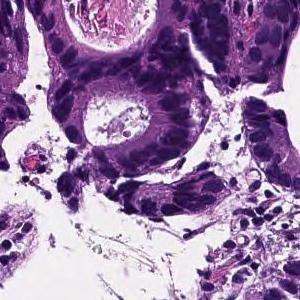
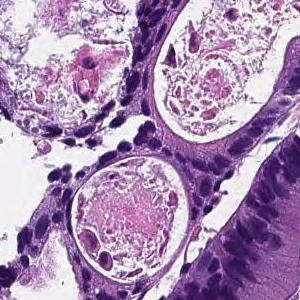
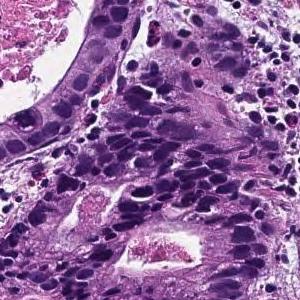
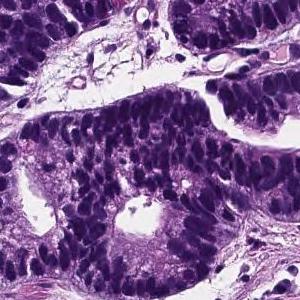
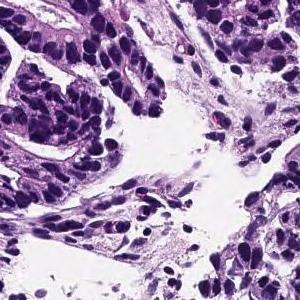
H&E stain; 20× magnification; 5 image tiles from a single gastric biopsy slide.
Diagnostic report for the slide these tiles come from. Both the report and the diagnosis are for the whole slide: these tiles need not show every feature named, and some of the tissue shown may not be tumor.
From the superficial epithelium to the muscularis mucosae, tumor tissue consisting of medium-sized and irregular glandular ducts infiltrating is observed. Well differentiated tubular adenocarcinoma
